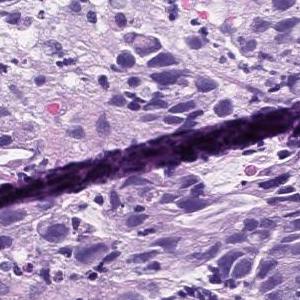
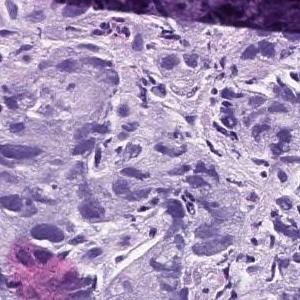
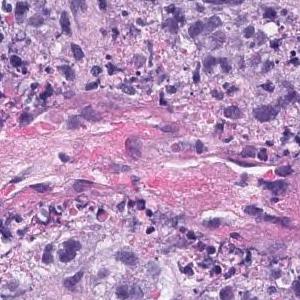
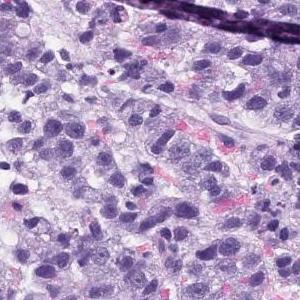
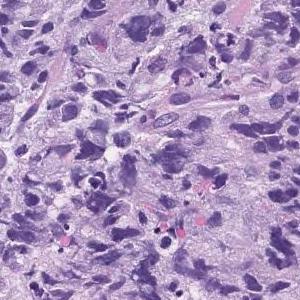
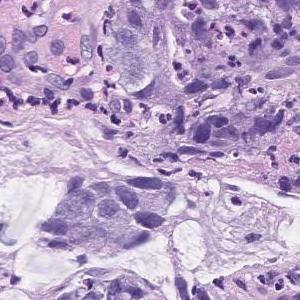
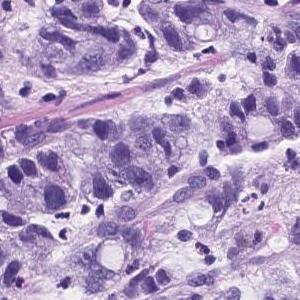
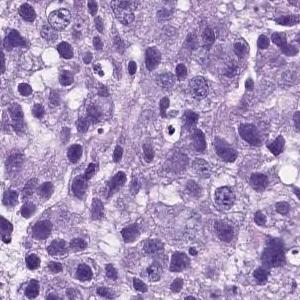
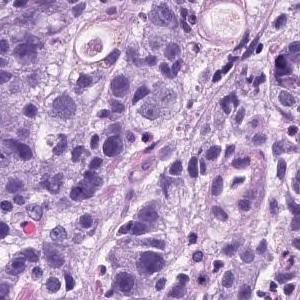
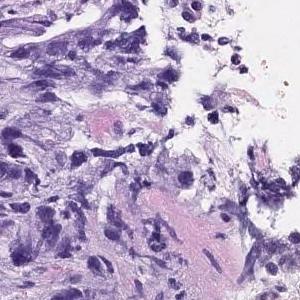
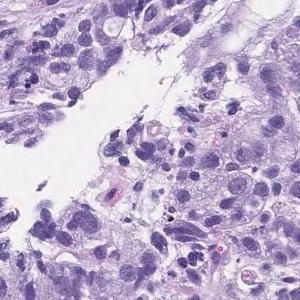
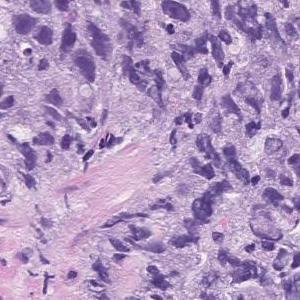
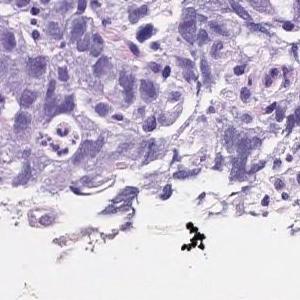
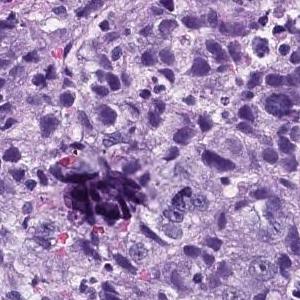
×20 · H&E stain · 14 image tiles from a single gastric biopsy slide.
The pathologist's report on the biopsy slide these tiles were taken from. The report and the diagnosis cover the entire slide, so not every feature they name need be visible here, and some tissue shown may not be tumor.
Atypical l cells with atypical nuclei forming solid vesicles or small irregular atypical ducts that proliferate in a complex manner. poorly differentiated adenocarcinoma, solid type, moderately differentiated tubular adenocarcinoma
The solid type named here is a Japanese Classification of Gastric Carcinoma category; WHO 2019 calls it tubular adenocarcinoma, poorly differentiated.
